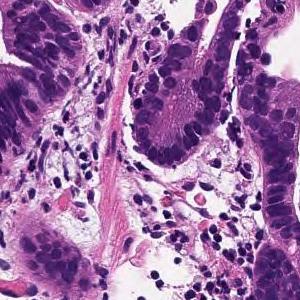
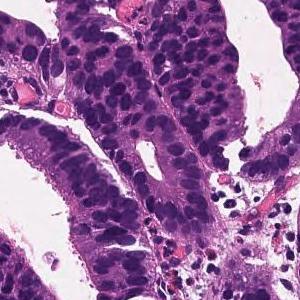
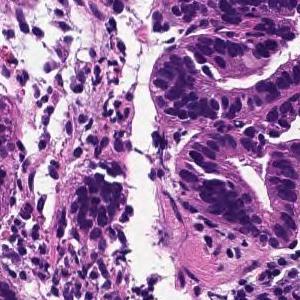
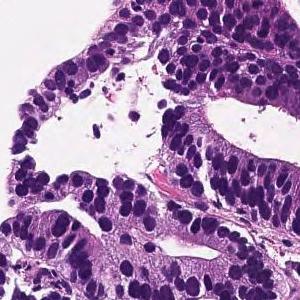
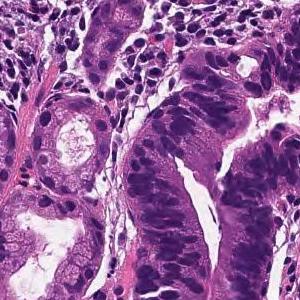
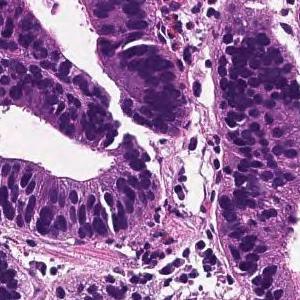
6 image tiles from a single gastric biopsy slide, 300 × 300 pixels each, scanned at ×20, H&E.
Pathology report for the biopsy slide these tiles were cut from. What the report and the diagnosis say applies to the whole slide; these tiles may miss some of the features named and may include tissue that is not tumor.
From the superficial epithelium to the muscularis mucosae, tumor tissue consisting of medium-sized and irregular glandular ducts infiltrating is observed. Well differentiated tubular adenocarcinoma
